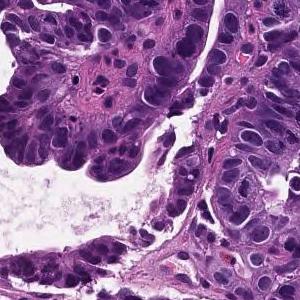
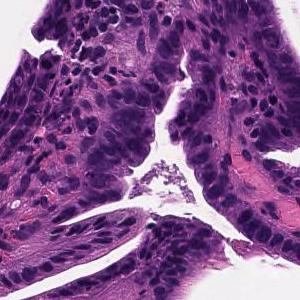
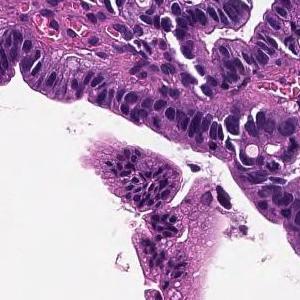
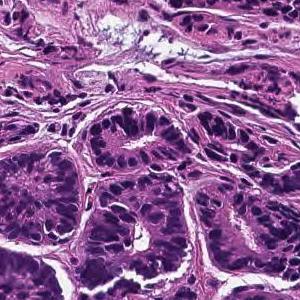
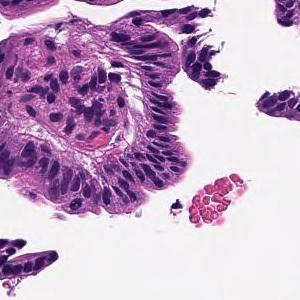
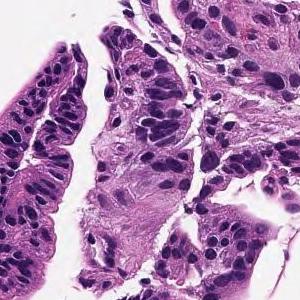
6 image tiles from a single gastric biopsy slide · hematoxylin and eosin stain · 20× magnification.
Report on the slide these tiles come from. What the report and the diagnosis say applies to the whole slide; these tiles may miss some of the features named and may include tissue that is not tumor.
Tumor tissue consisting of large papillary structures is found in the superficial epithelium. Papillary adenocarcinoma.
